H&E stain · ×20 · 4 patches cut from one gastric biopsy slide · 300×300 px each.
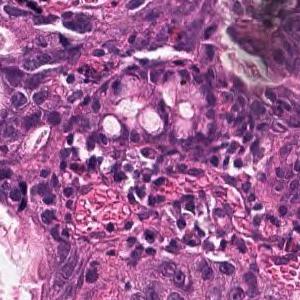
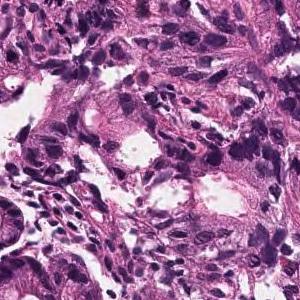
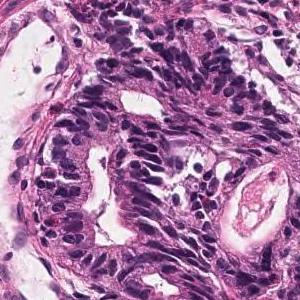
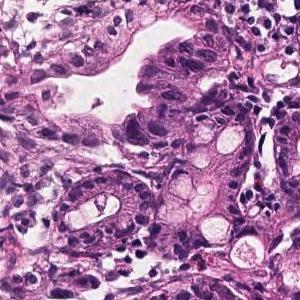
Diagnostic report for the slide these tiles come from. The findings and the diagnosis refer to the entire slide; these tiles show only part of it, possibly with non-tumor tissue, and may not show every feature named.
On the superficial epithelium, tumor tissue consisting of large, irregular glandular ducts partially fused and infiltrated is observed. Well to moderately differentiated tubular adenocarcinoma (well differentiated tubular adenocarcinoma, moderately differentiated tubular adenocarcinoma)
Histological subtype: Well to moderately differentiated tubular adenocarcinoma.
